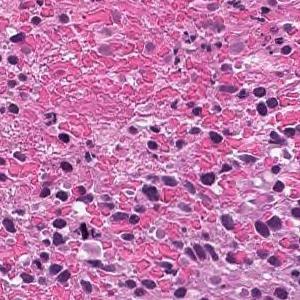
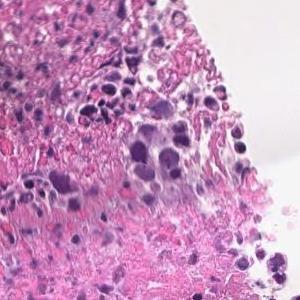
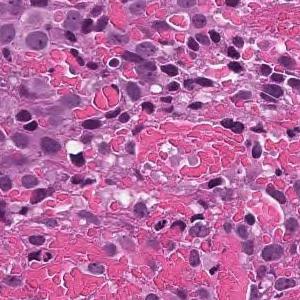
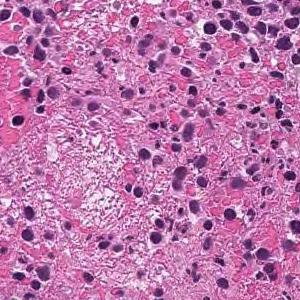
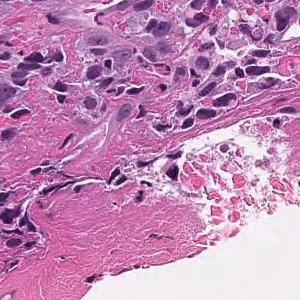
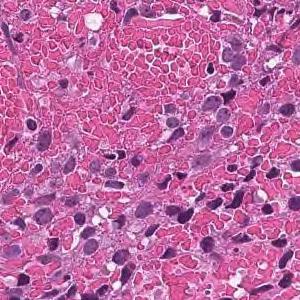
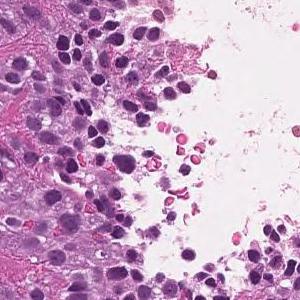
×20; hematoxylin and eosin stain; 7 image tiles from a single gastric biopsy slide; 300×300 px each.
The pathologist's report on the biopsy slide these tiles were taken from. The report and the diagnosis describe the slide as a whole, so these tiles may not show every feature named and may include non-tumor tissue.
The superficial epithelium shows a large sheet-like shape, and some tumor tissue infiltrates with small irregular ducts. Poorly differentiated adenocarcinoma, solid-type
Tumor subtype: poorly differentiated adenocarcinoma, solid type, a category of the Japanese Classification of Gastric Carcinoma; in the WHO 2019 classification it is tubular adenocarcinoma, poorly differentiated.
